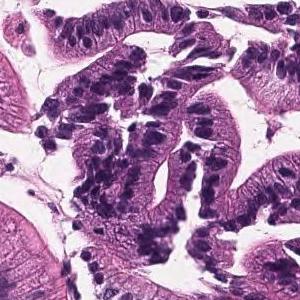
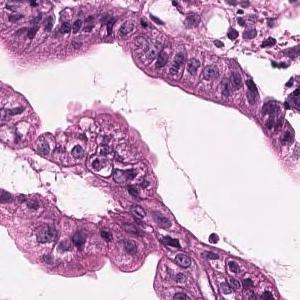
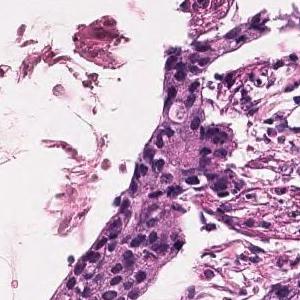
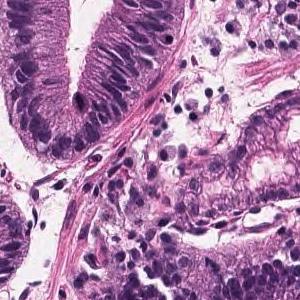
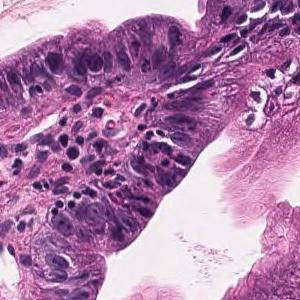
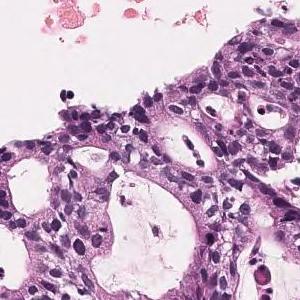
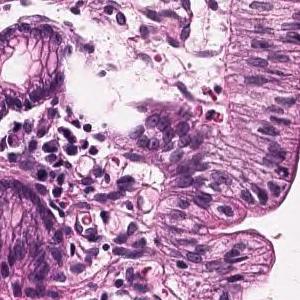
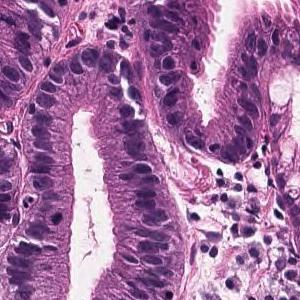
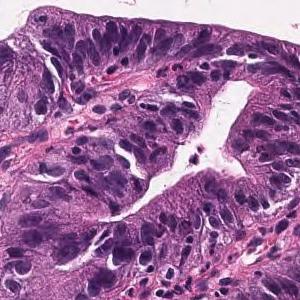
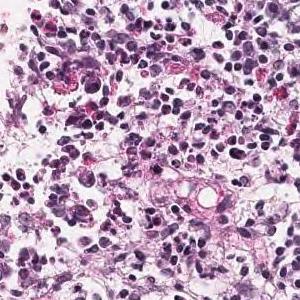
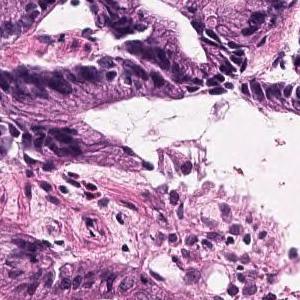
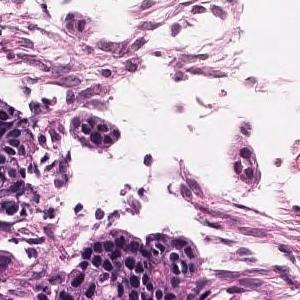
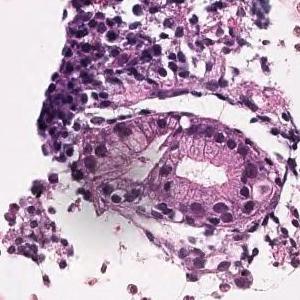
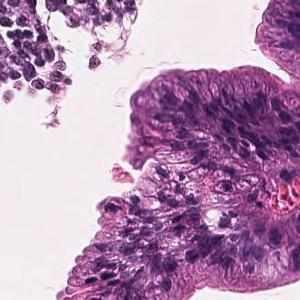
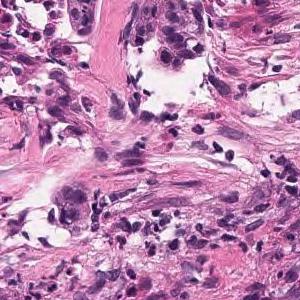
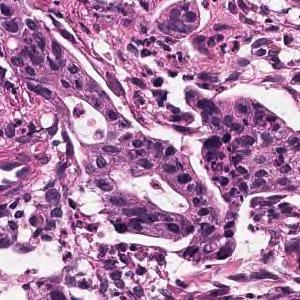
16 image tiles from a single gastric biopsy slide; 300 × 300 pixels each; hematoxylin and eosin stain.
Report on the slide these tiles come from. What the report and the diagnosis say applies to the whole slide; these tiles may miss some of the features named and may include tissue that is not tumor.
Tumor tissue that grows invasively while the short atypical epithelium forms small ducts is observed. moderately differentiated tubular adenocarcinoma
